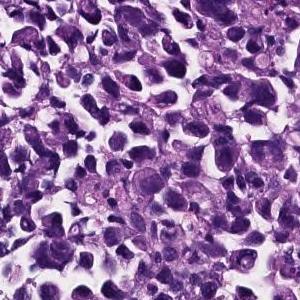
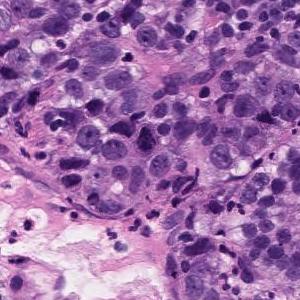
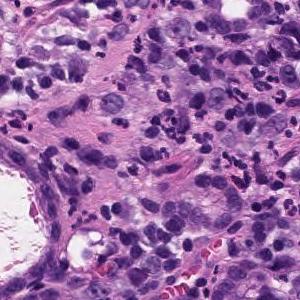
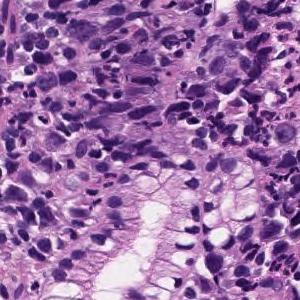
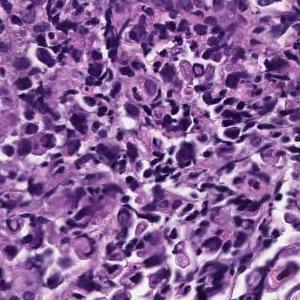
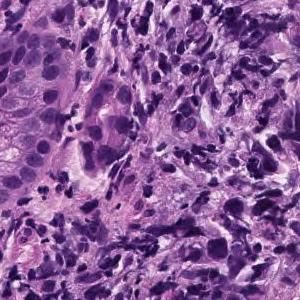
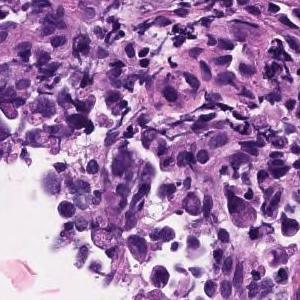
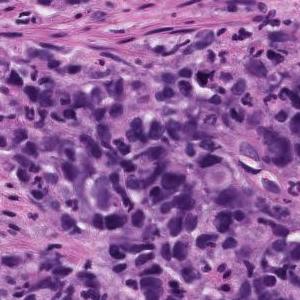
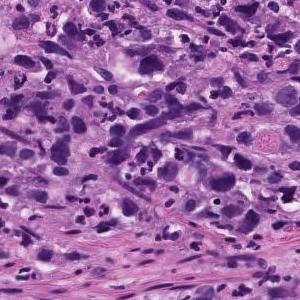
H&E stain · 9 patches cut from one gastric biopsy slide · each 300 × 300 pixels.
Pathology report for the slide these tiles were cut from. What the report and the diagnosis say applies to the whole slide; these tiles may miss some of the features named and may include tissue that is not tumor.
Poorly differentiated, solid adenocarcinoma (poorly differentiated adenocarcinoma, solid type) with tumor tissue diffusely infiltrated with atypical epithelial cells
Subtype: Poorly differentiated adenocarcinoma, solid type, a category of the Japanese Classification of Gastric Carcinoma; in the WHO 2019 classification it is tubular adenocarcinoma, poorly differentiated.
